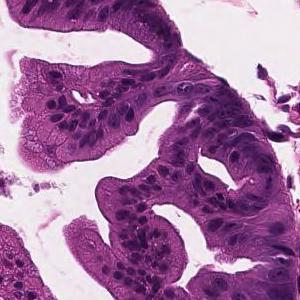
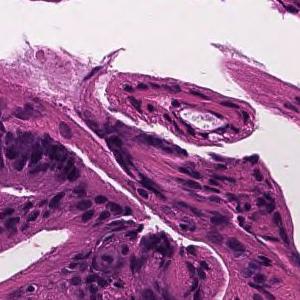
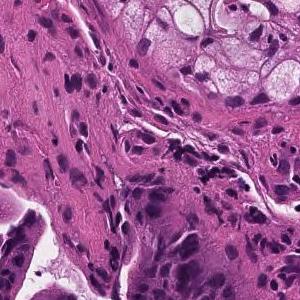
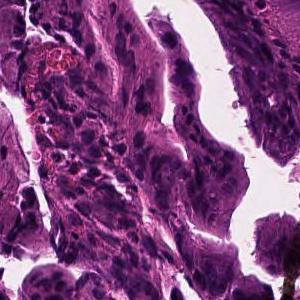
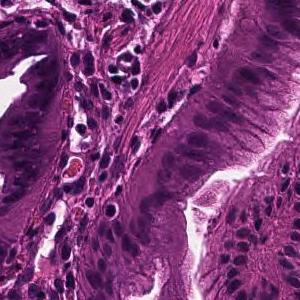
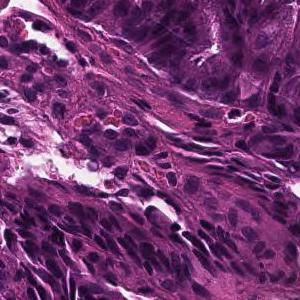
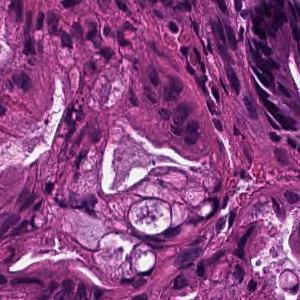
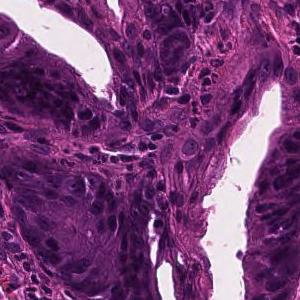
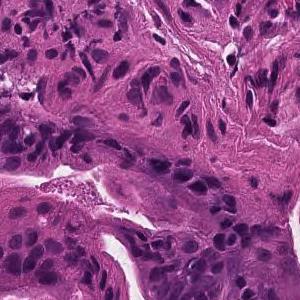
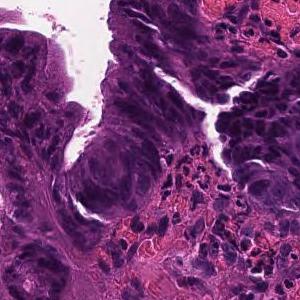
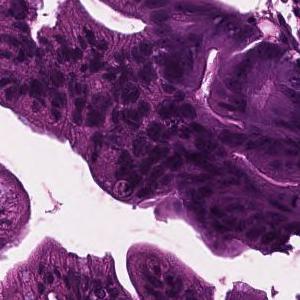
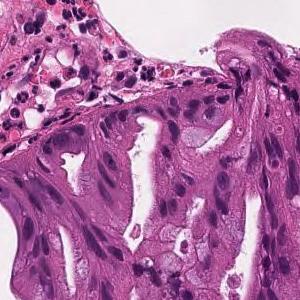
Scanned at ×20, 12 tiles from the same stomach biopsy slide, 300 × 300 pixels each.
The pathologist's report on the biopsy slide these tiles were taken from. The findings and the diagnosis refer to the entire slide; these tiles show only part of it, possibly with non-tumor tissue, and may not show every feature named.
Tumor cells are large, highly columnar, large club-shaped nuclei, and are associated with chromatin aggregation. Papillary adenocarcinoma.
